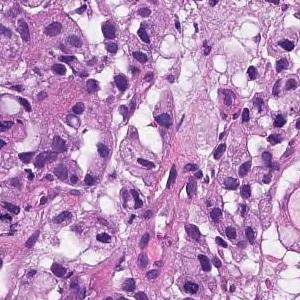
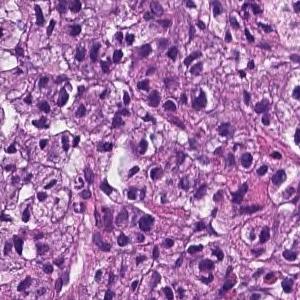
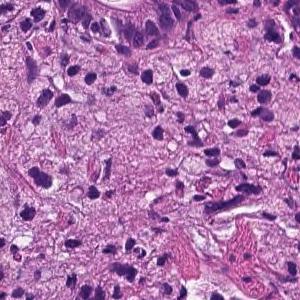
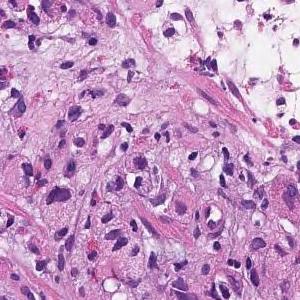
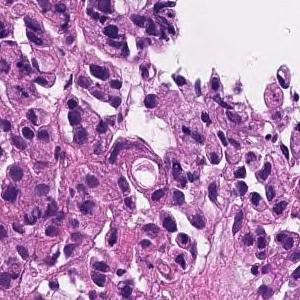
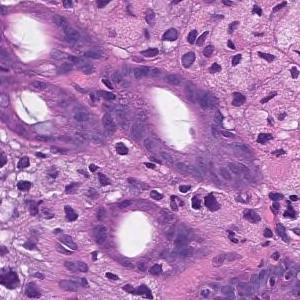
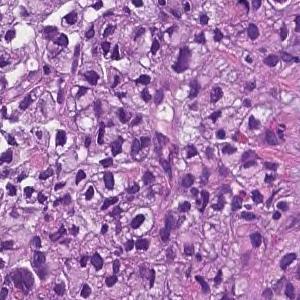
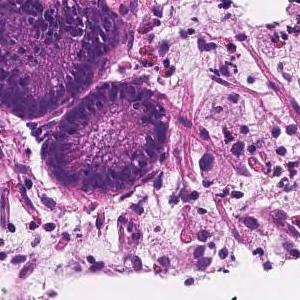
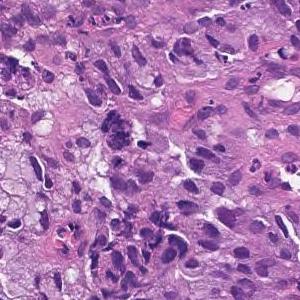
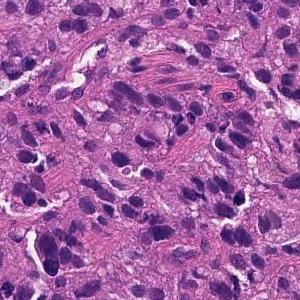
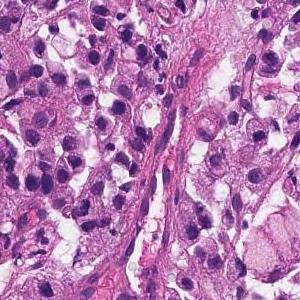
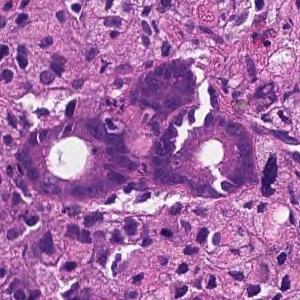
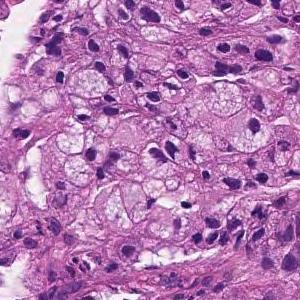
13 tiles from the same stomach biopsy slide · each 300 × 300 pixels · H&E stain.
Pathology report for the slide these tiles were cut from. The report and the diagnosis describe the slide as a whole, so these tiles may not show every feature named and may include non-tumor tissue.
In the lamina propria, a tumor tissue consisting of signet ring cell type atypical epithelial cells infiltrating is observed. Signet ring cell carcinoma.
